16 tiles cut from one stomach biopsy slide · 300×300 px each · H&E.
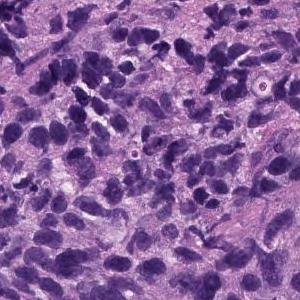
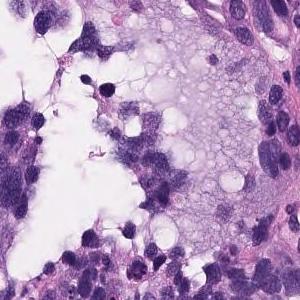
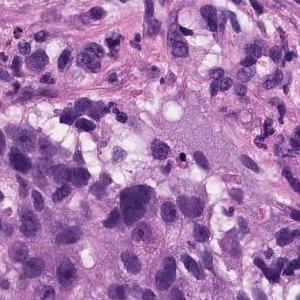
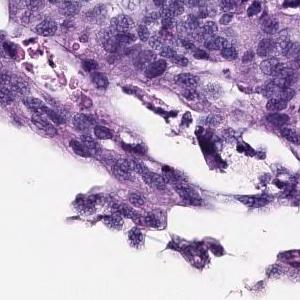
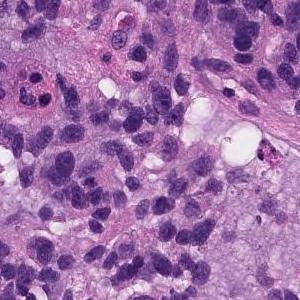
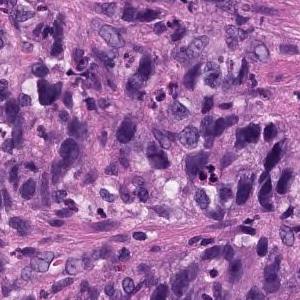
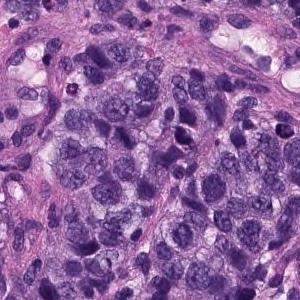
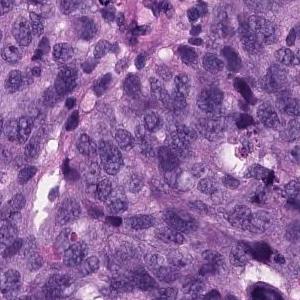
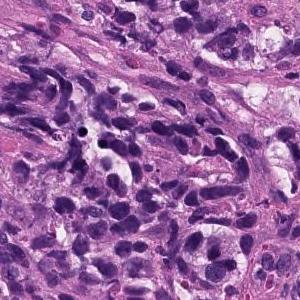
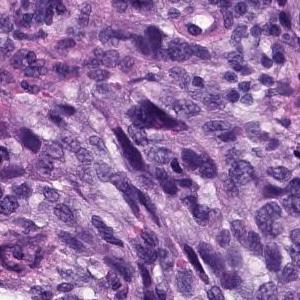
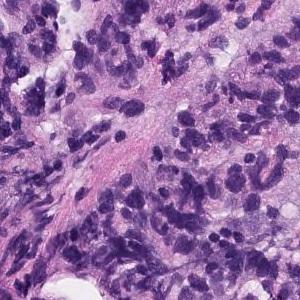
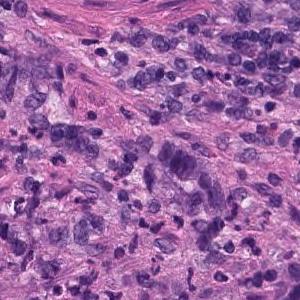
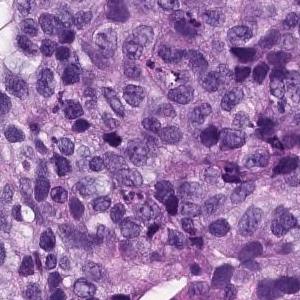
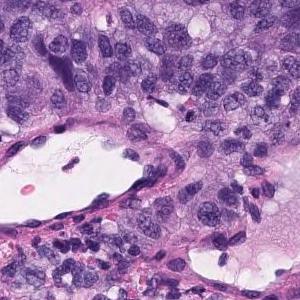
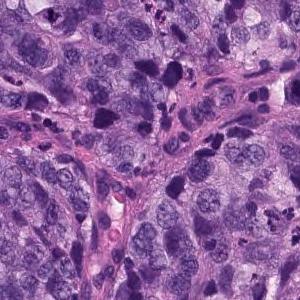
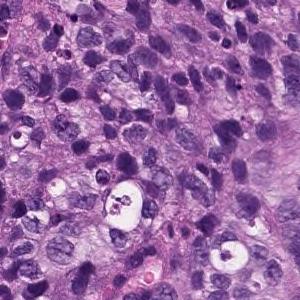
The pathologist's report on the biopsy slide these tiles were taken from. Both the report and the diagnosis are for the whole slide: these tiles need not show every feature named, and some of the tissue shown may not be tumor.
Atypical l cells with atypical nuclei under the mucosa growing in isolation and scattered. Poorly differentiated adenocarcinoma (poorly differentiated adenocarcinoma, non-solid type)
Classified as poorly differentiated adenocarcinoma, non-solid type.
"Non-solid type" is a category of the Japanese Classification of Gastric Carcinoma.
